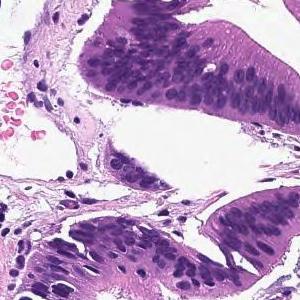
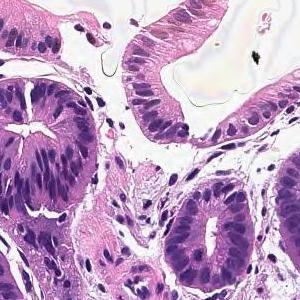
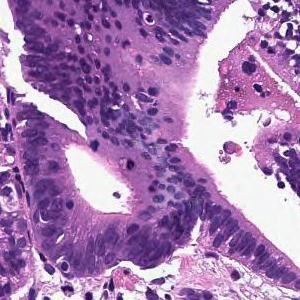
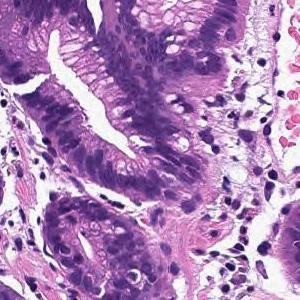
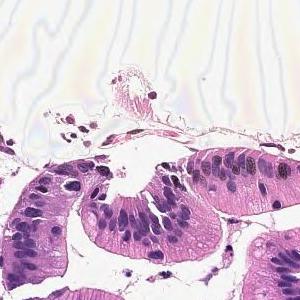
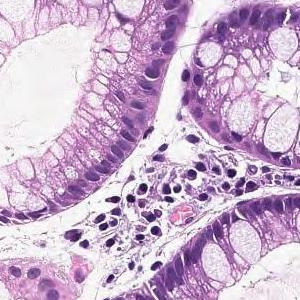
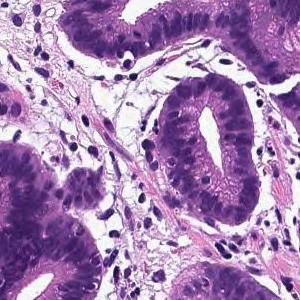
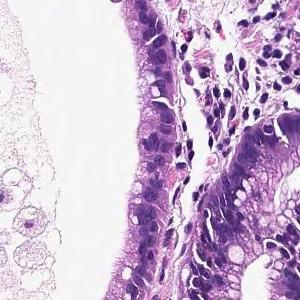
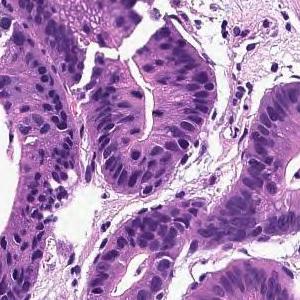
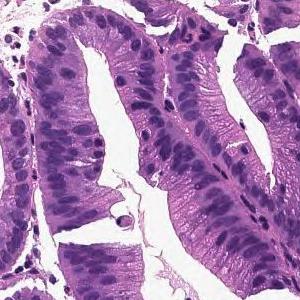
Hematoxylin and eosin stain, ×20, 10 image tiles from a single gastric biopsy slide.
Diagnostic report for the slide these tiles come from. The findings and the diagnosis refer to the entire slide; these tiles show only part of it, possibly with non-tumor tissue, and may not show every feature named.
Infiltrating tumor tissue is observed in the superficial epithelium, showing large papillary structures or large and small ducts. Papillary adenocarcinoma
